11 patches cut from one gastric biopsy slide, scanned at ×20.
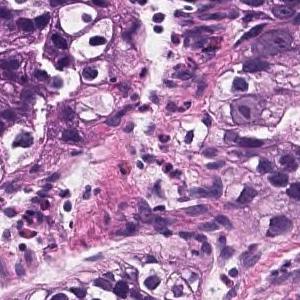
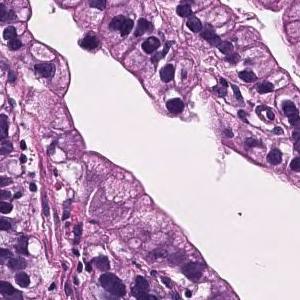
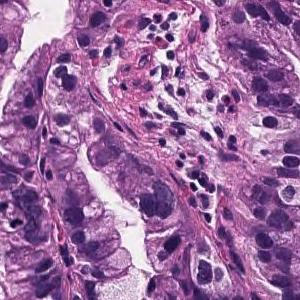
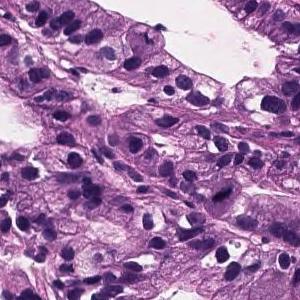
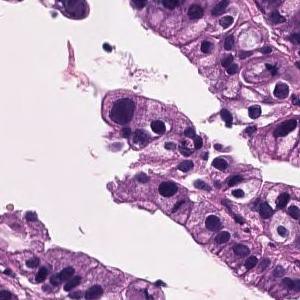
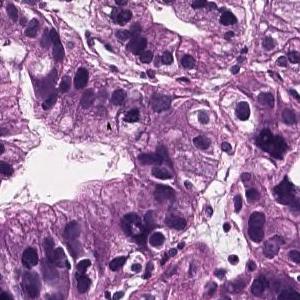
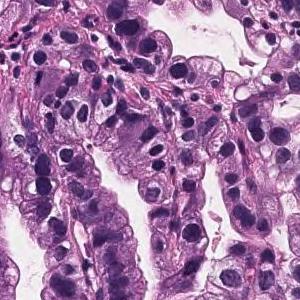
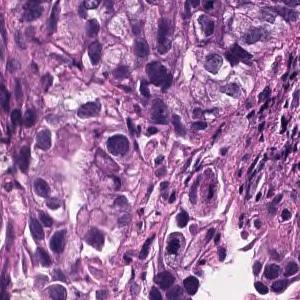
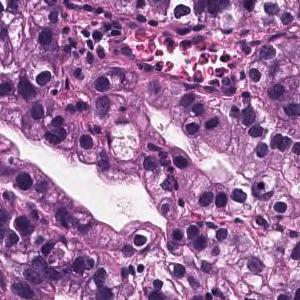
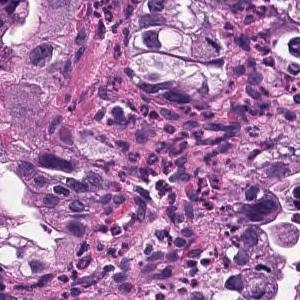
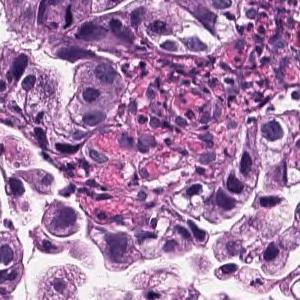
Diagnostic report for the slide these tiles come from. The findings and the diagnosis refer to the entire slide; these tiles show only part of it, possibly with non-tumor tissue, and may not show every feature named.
Tumor cells are large, highly columnar, large club-shaped nuclei, and are associated with chromatin aggregation. Papillary adenocarcinoma.
